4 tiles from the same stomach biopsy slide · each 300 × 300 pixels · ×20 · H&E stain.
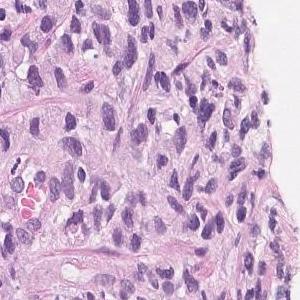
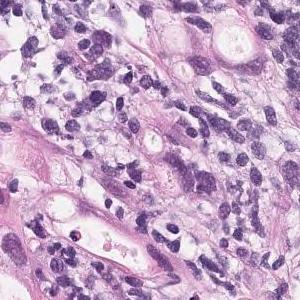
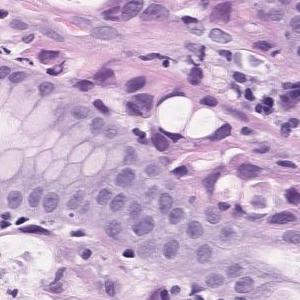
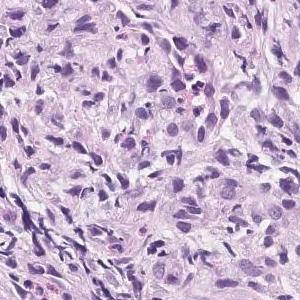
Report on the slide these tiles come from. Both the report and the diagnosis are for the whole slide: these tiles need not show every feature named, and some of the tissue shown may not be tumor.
Tumor tissue consisting of medium-sized, cord-like or irregular glandular infiltration is observed in the superficial epithelium. Poorly differentiated adenocarcinoma, non-solid type or moderately differentiated tubular adenocarcinoma
The dataset labels this slide poorly differentiated adenocarcinoma, non-solid type.
The term "non-solid type" comes from the Japanese Classification of Gastric Carcinoma.
